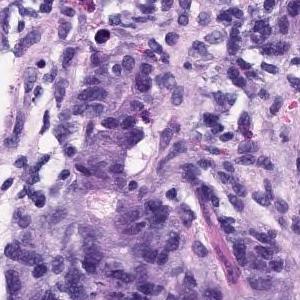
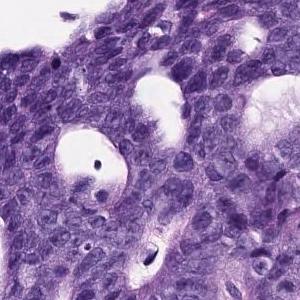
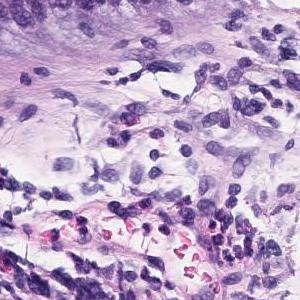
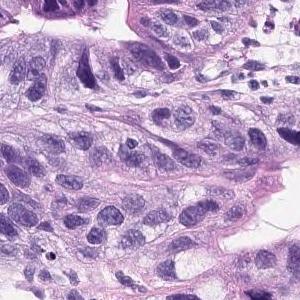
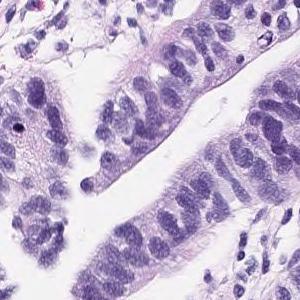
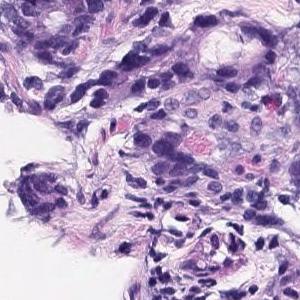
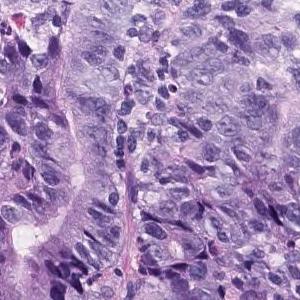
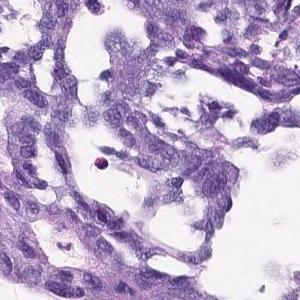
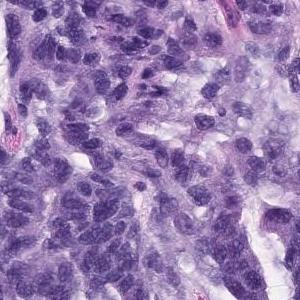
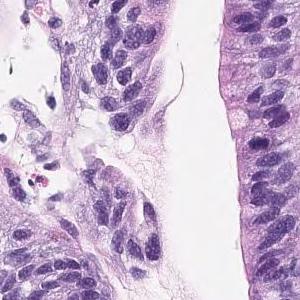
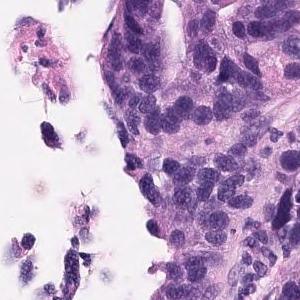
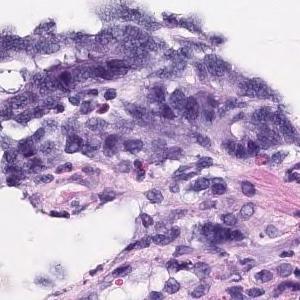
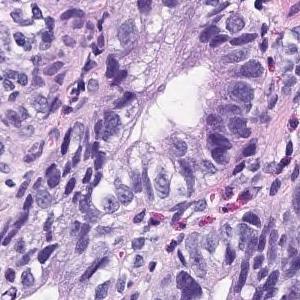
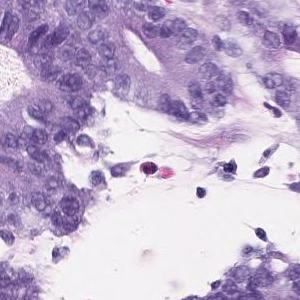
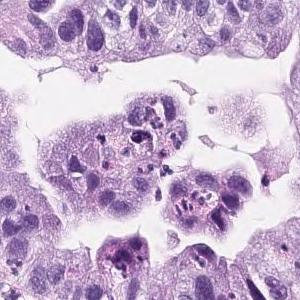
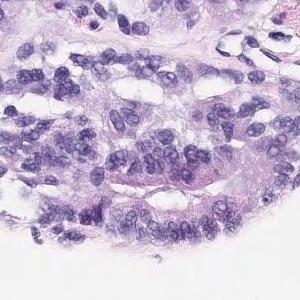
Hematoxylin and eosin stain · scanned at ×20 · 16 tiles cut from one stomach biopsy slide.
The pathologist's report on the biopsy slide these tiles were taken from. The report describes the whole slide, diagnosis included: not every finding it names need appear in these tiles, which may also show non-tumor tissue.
In the superficial epithelium, tumor tissue that invades by forming medium-sized to small, irregular ducts is observed. Well to moderately differentiated tubular adenocarcinoma.
